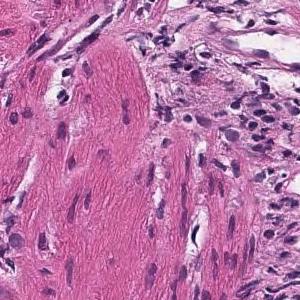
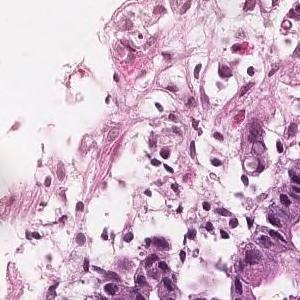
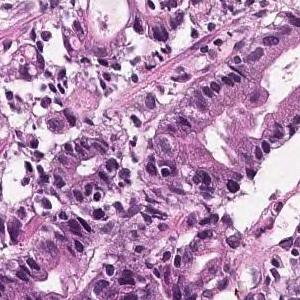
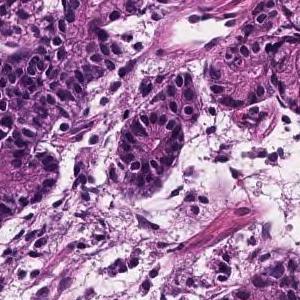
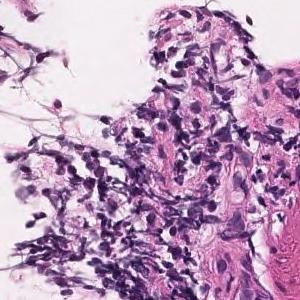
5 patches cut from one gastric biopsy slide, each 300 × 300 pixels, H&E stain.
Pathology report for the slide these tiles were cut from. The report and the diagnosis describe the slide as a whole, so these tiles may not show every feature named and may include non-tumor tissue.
Tumor tissue with atypical epithelium showing irregular ductal or sieving ductal structure and proliferating is observed. Well to moderately differentiated tubular adenocarcinoma (well differentiated tubular adenocarcinoma-moderately differentiated tubular adenocarcinoma)
Histological subtype: Well to moderately differentiated tubular adenocarcinoma.
